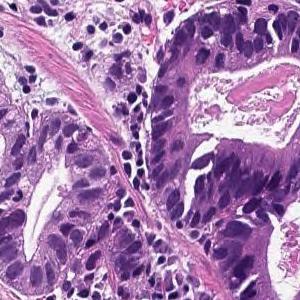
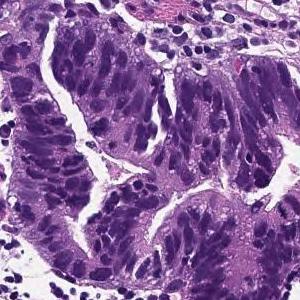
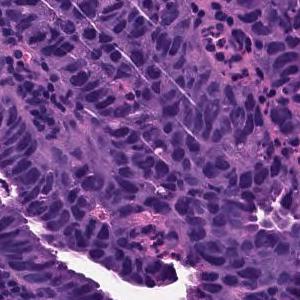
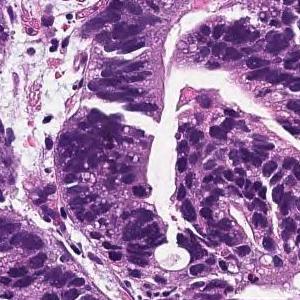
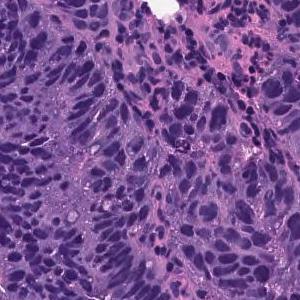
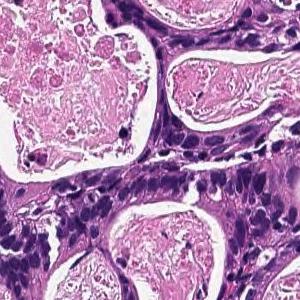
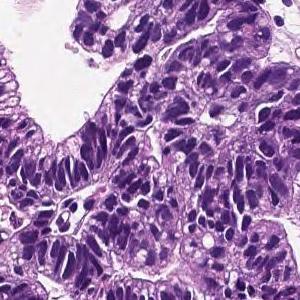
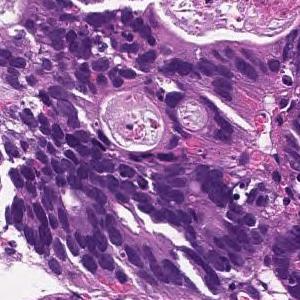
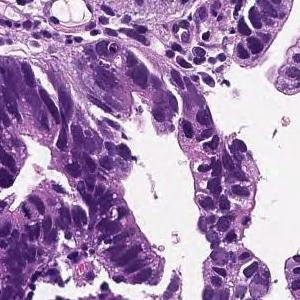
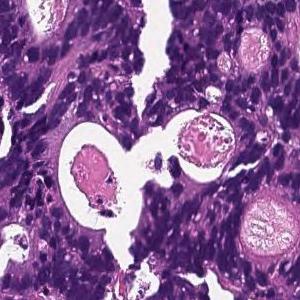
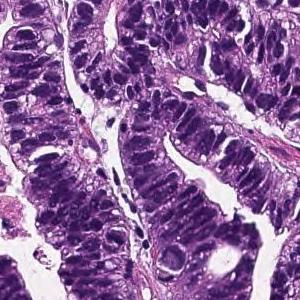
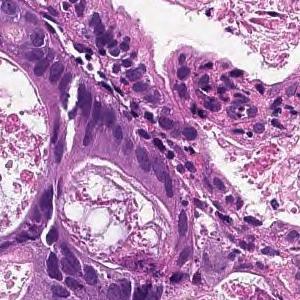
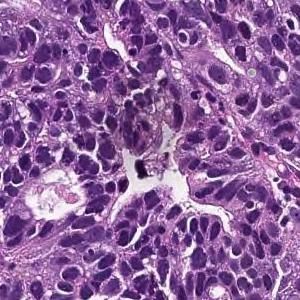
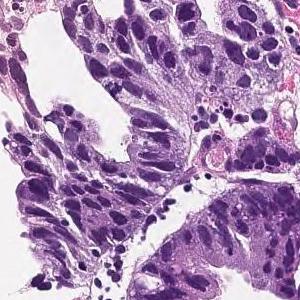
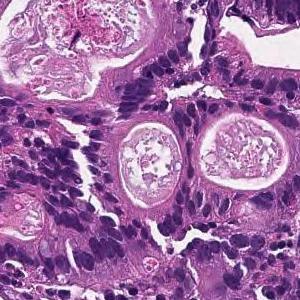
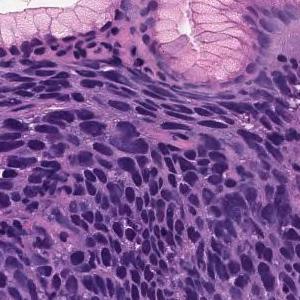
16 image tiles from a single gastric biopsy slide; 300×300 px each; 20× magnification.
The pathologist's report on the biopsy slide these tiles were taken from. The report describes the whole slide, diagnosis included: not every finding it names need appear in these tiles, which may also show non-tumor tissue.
In the superficial epithelium, tumor tissue that invades by forming medium-sized to small, irregular ducts is observed. moderately differentiated tubular adenocarcinoma.
